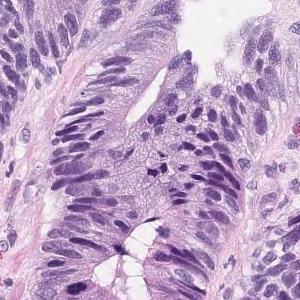
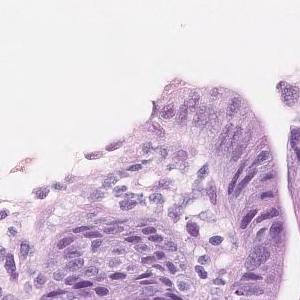
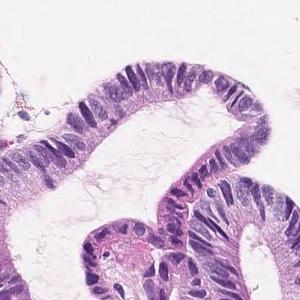
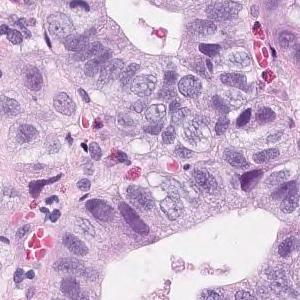
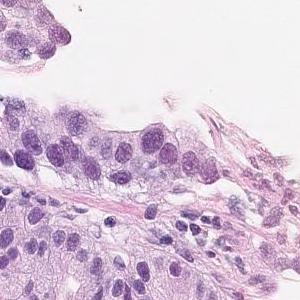
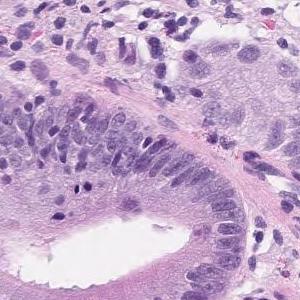
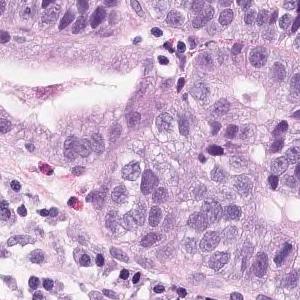
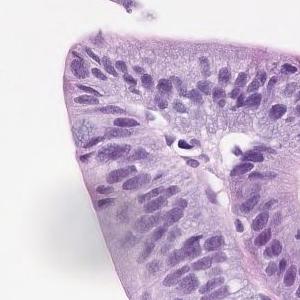
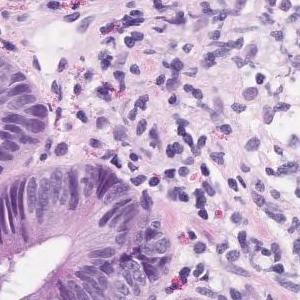
H&E stain, scanned at ×20, 9 tiles from the same stomach biopsy slide, each 300 × 300 pixels.
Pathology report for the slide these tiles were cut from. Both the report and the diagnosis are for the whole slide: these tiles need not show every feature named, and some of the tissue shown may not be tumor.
Short atypical epithelium with swelling of the nucleus shows proliferating, large and small irregular ductal structures. Well to moderately differentiated tubular adenocarcinoma (well differentiated tubular adenocarcinoma-moderately differentiated tubular adenocarcinoma)
Tumor subtype: well to moderately differentiated tubular adenocarcinoma.
